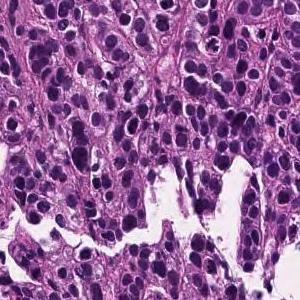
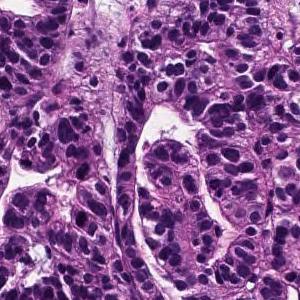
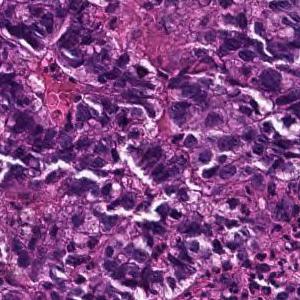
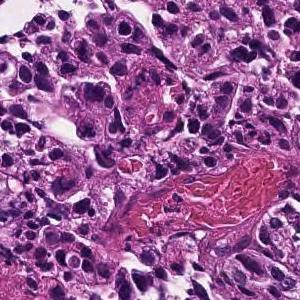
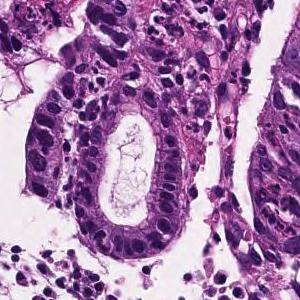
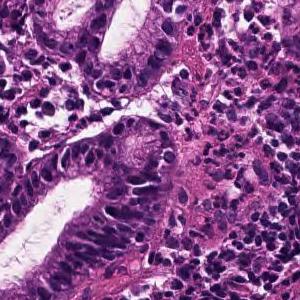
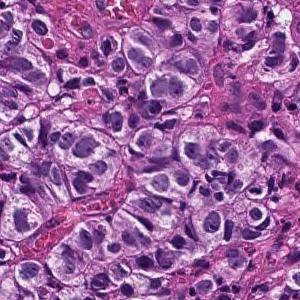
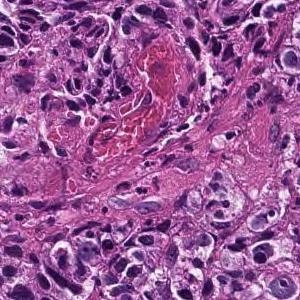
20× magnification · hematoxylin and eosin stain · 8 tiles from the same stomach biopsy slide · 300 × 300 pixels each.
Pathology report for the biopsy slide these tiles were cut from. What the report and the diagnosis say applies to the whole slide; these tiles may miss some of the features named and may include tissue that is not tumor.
In the superficial epithelium, tumor tissue that invades by forming medium-sized to small, irregular ducts is observed. moderately differentiated tubular adenocarcinoma.
